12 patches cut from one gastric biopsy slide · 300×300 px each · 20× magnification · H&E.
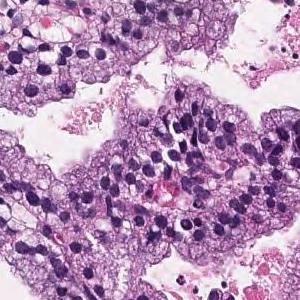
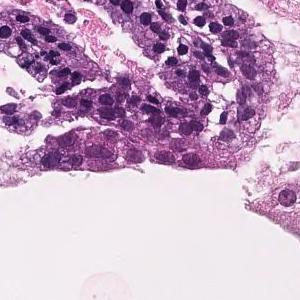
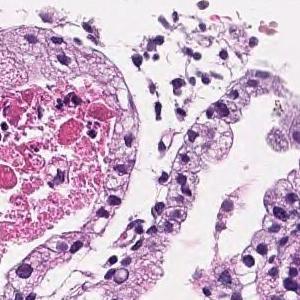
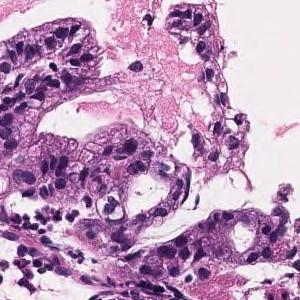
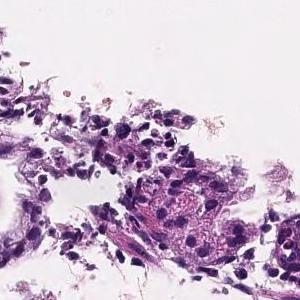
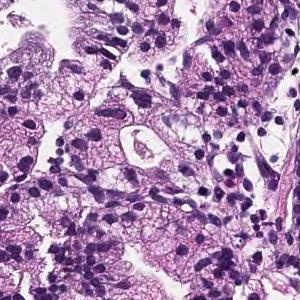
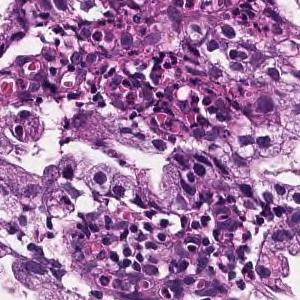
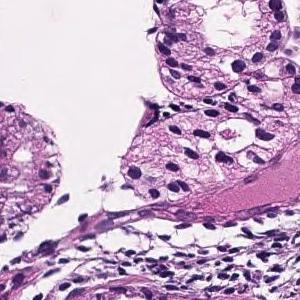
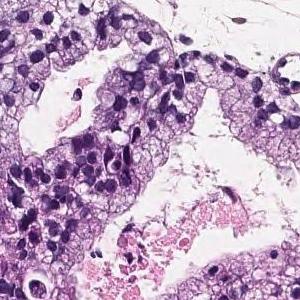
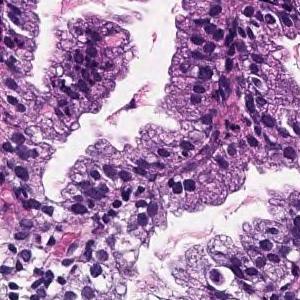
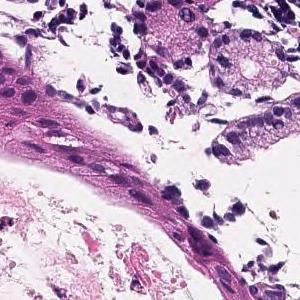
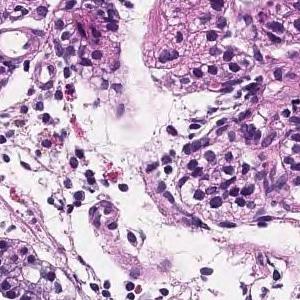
The pathologist's report on the biopsy slide these tiles were taken from. The report describes the whole slide, diagnosis included: not every finding it names need appear in these tiles, which may also show non-tumor tissue.
In the superficial epithelium, tumor tissue that infiltrates by forming medium-sized papillary or small irregular ducts is observed. Papillary adenocarcinoma
